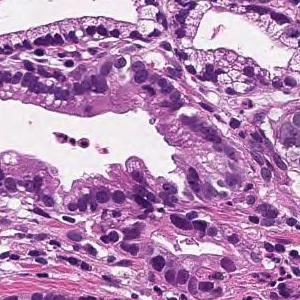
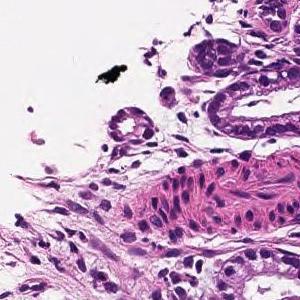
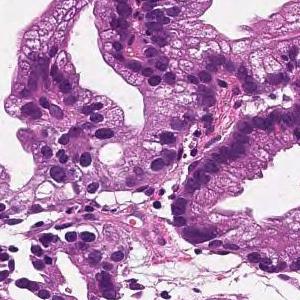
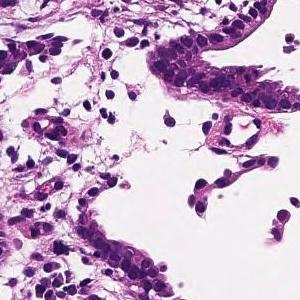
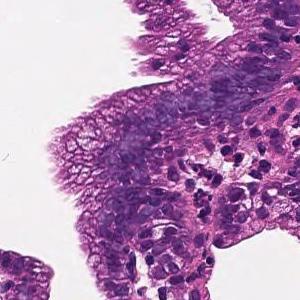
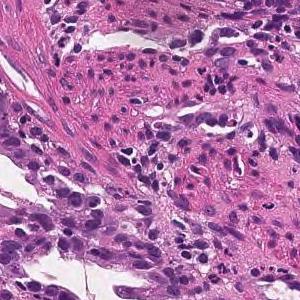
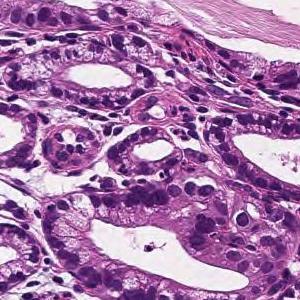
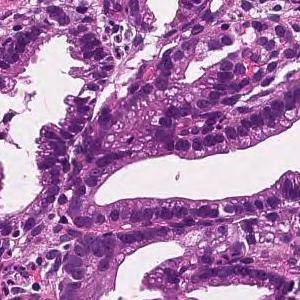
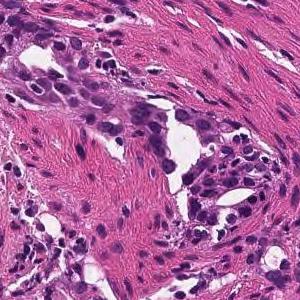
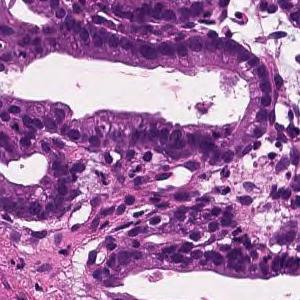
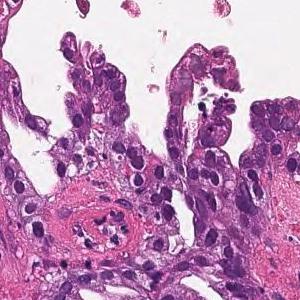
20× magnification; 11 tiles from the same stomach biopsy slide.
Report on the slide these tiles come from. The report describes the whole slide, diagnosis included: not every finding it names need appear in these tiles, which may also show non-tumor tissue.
On the superficial epithelium, tumor tissue that infiltrates by forming medium-sized papillary or small irregular ducts is observed. Papillary adenocarcinoma
